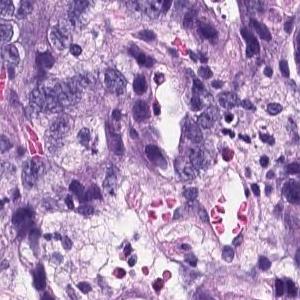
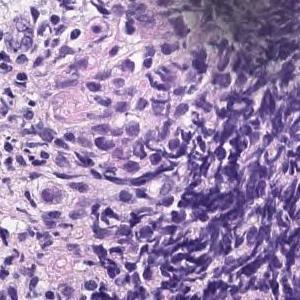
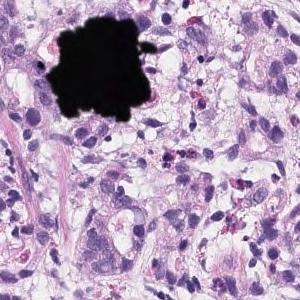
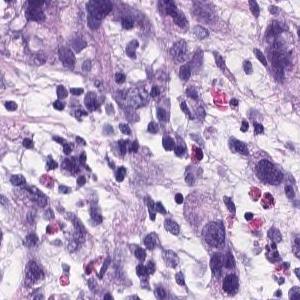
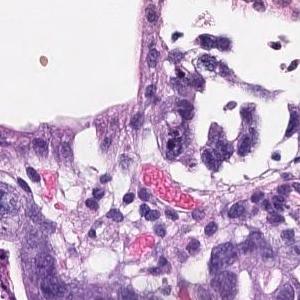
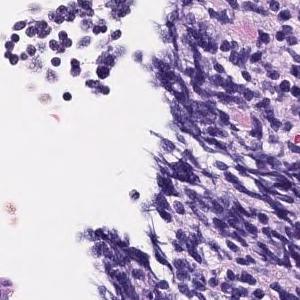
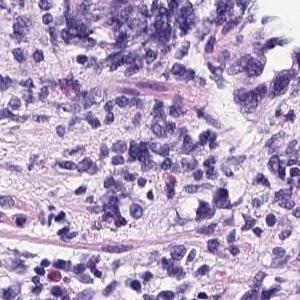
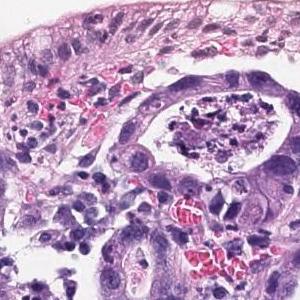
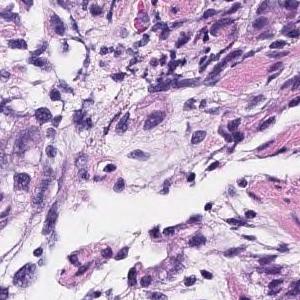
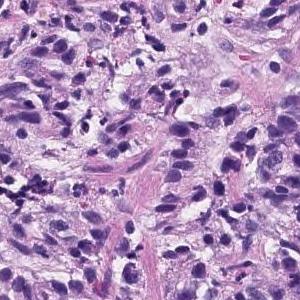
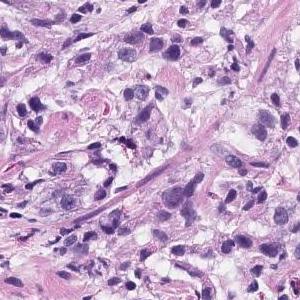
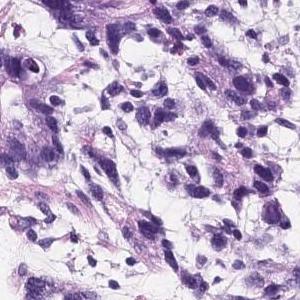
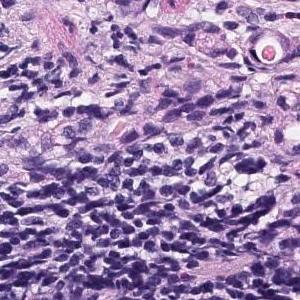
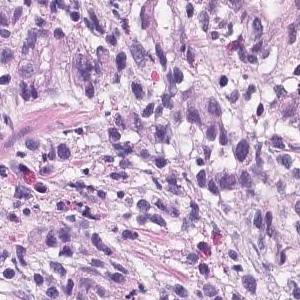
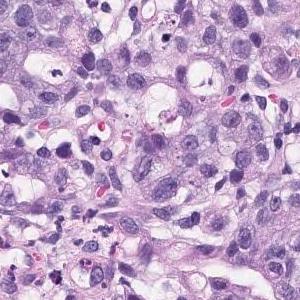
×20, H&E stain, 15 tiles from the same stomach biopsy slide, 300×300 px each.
Diagnostic report for the slide these tiles come from. The report and the diagnosis cover the entire slide, so not every feature they name need be visible here, and some tissue shown may not be tumor.
There are atypical l cells with atypical nuclei forming cord-like or irregular atypical ducts from solidity and proliferating in a comprehensive manner. Poorly differentiated adenocarcinoma, Moderately differentiated adenocarcinoma (poorly differentiated adenocarcinoma, solid type moderately differentiated tubular adenocarcinoma)
Tumor subtype: moderately to poorly differentiated adenocarcinoma.
The solid type named here is a Japanese Classification of Gastric Carcinoma category; WHO 2019 calls it tubular adenocarcinoma, poorly differentiated.
